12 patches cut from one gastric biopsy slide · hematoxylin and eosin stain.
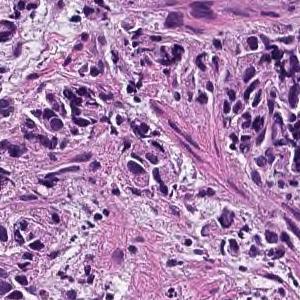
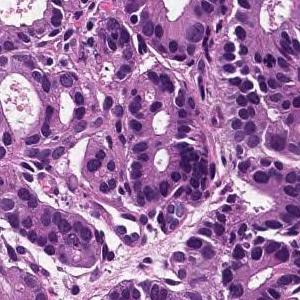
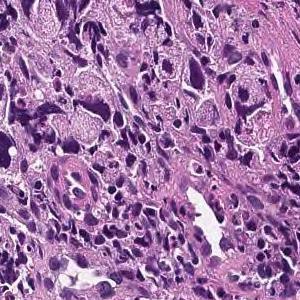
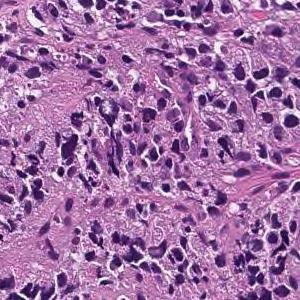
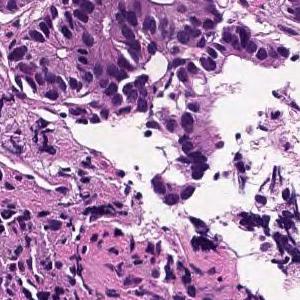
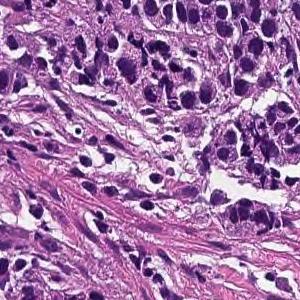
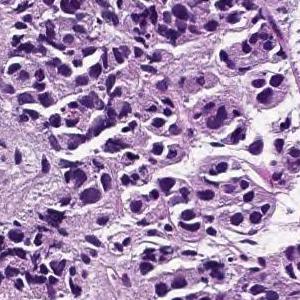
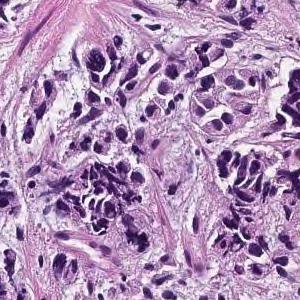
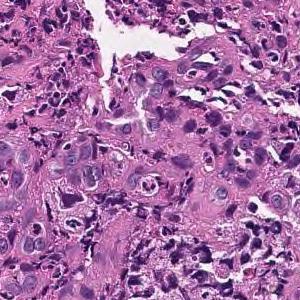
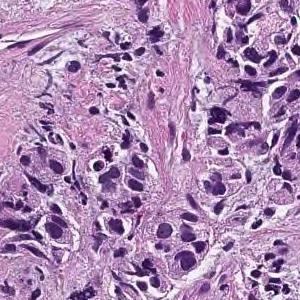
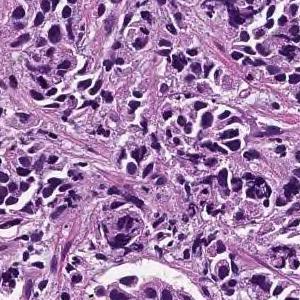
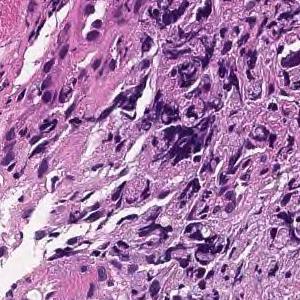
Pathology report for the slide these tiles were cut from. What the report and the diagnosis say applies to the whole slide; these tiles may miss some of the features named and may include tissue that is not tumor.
The lamina propria shows small cord-like tumor tissue that infiltrates with fibrosis and marked chronic inflammatory cell infiltration. Poorly differentiated adenocarcinoma, non-solid type
The term "non-solid type" comes from the Japanese Classification of Gastric Carcinoma.
